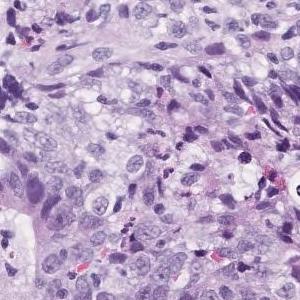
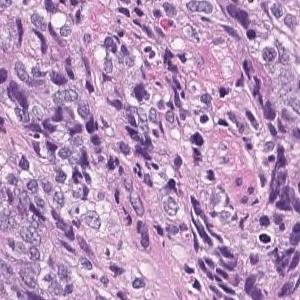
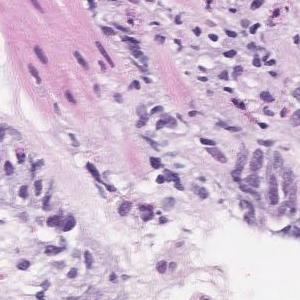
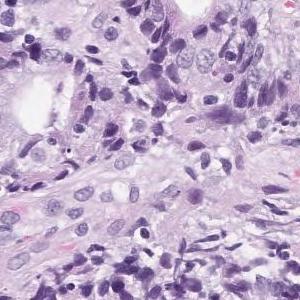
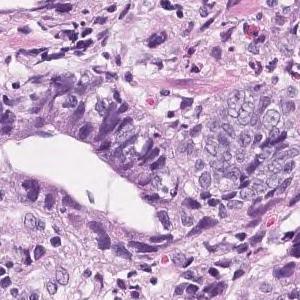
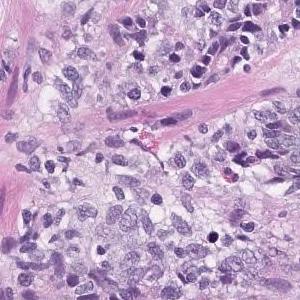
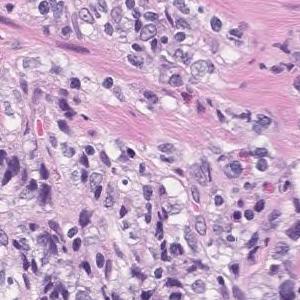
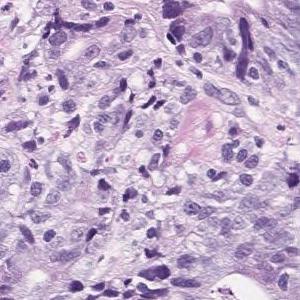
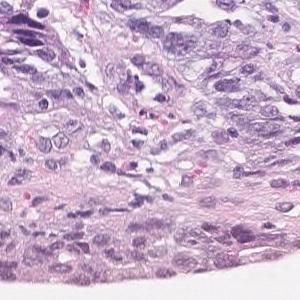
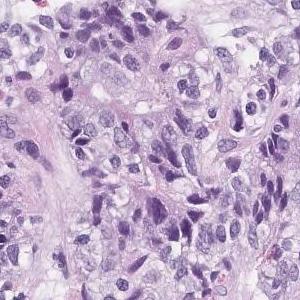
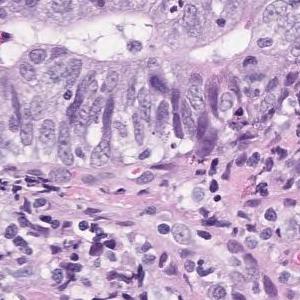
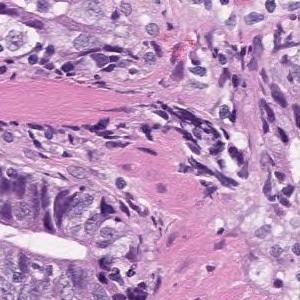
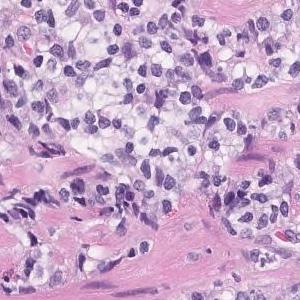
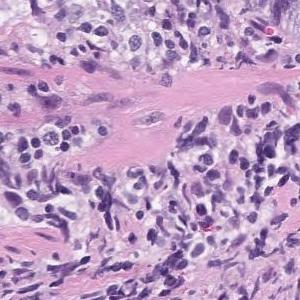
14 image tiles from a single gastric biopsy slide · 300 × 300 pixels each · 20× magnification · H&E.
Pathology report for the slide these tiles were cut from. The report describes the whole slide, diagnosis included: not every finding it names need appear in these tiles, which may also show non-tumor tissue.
Highly columnar epithelium with disordered nuclear localization proliferates showing fusion ductal construction. moderately differentiated tubular adenocarcinoma
